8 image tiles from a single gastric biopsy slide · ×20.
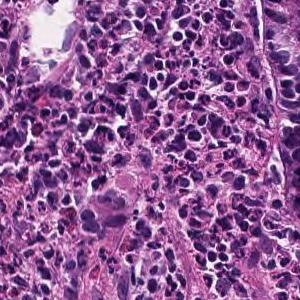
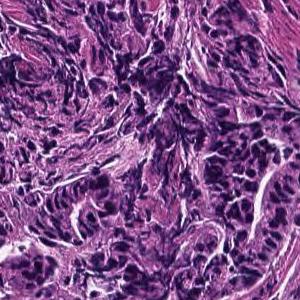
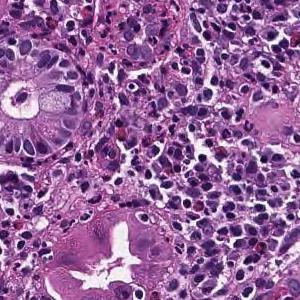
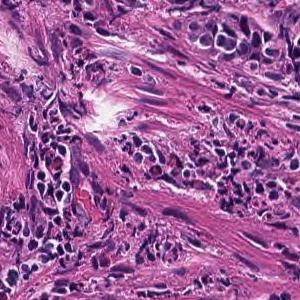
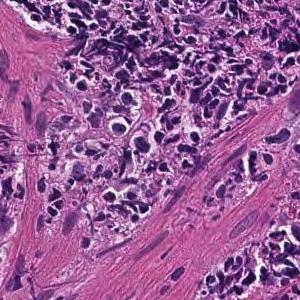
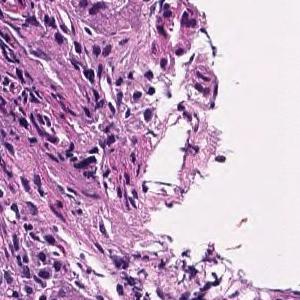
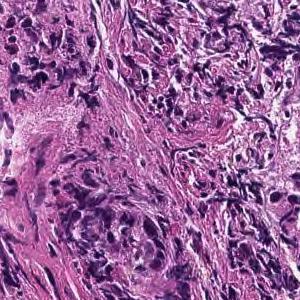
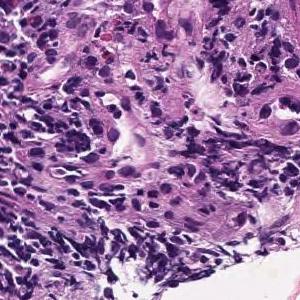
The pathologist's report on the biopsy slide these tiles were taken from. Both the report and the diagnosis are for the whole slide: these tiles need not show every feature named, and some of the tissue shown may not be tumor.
On the superficial epithelium, tumor tissue consisting of large, irregular glandular ducts partially fused and infiltrated is observed. Well to moderately differentiated tubular adenocarcinoma (well differentiated tubular adenocarcinoma, moderately differentiated tubular adenocarcinoma)
Histologic type: Well to moderately differentiated tubular adenocarcinoma.
